8 tiles from the same stomach biopsy slide; hematoxylin and eosin stain; scanned at ×20.
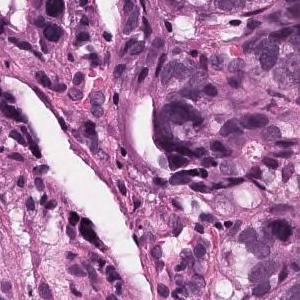
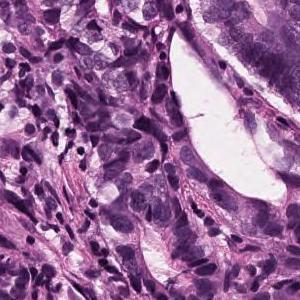
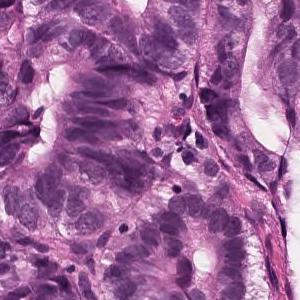
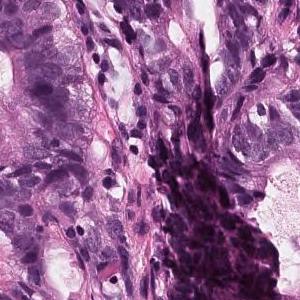
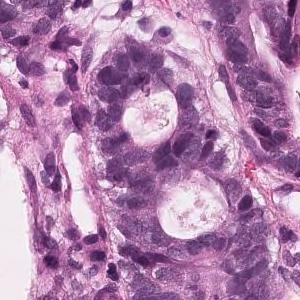
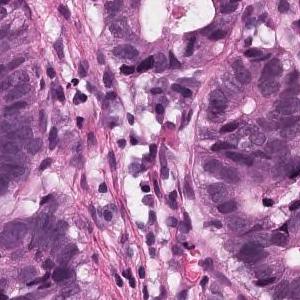
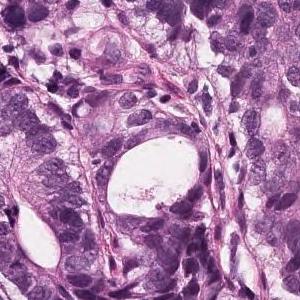
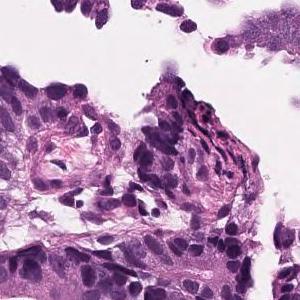
The pathologist's report on the biopsy slide these tiles were taken from. What the report and the diagnosis say applies to the whole slide; these tiles may miss some of the features named and may include tissue that is not tumor.
On the superficial epithelium, tumor tissue consisting of large, irregular glandular ducts partially fused and infiltrated is observed. Well to moderately differentiated tubular adenocarcinoma (well differentiated tubular adenocarcinoma, moderately differentiated tubular adenocarcinoma)
Classified as well to moderately differentiated tubular adenocarcinoma.
